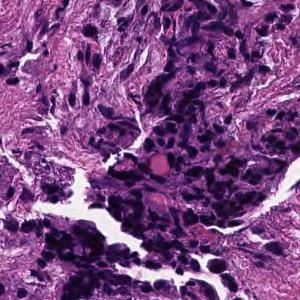
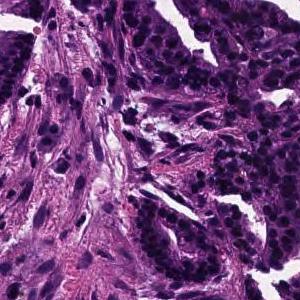
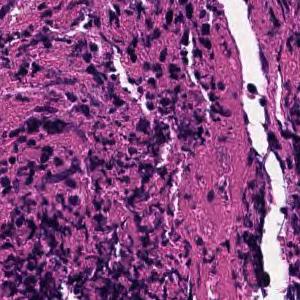
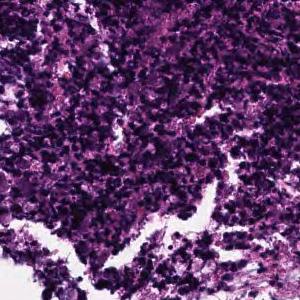
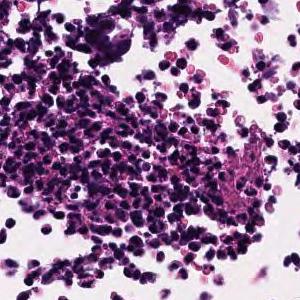
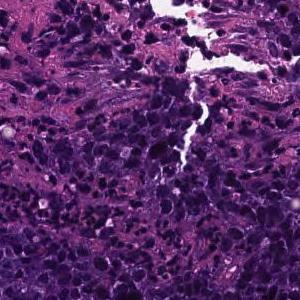
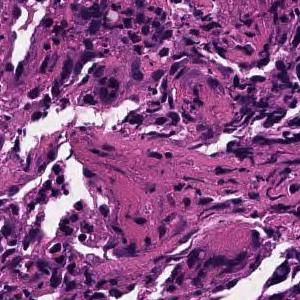
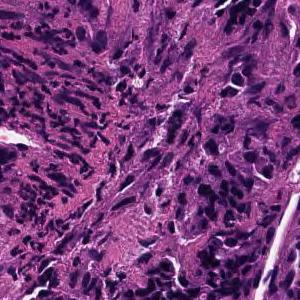
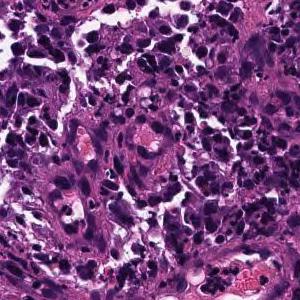
9 tiles cut from one stomach biopsy slide; 300×300 px each.
Diagnostic report for the slide these tiles come from. The report describes the whole slide, diagnosis included: not every finding it names need appear in these tiles, which may also show non-tumor tissue.
In the superficial epithelium, tumor tissue that invades by forming medium-sized to small, irregular ducts is observed. moderately differentiated tubular adenocarcinoma.
